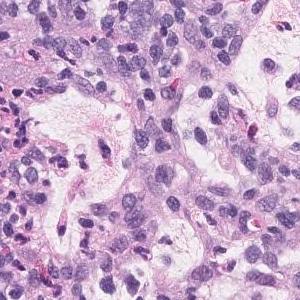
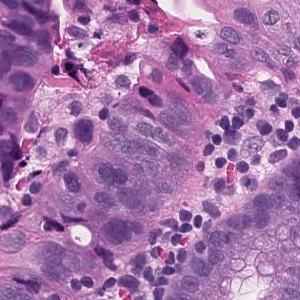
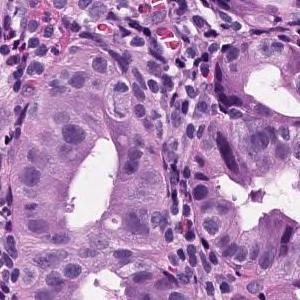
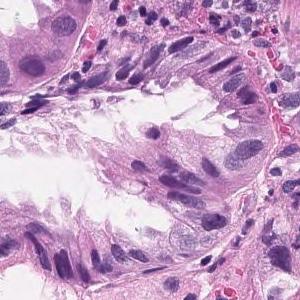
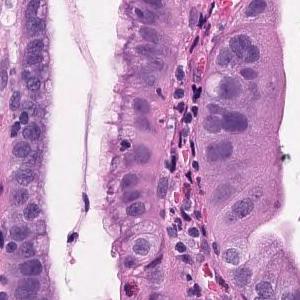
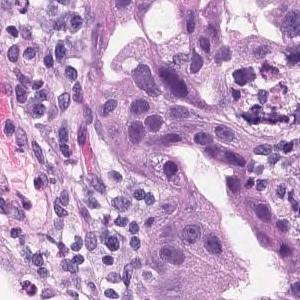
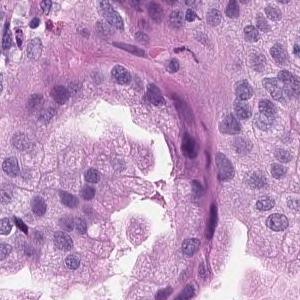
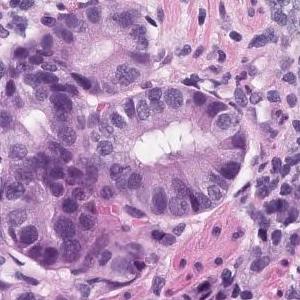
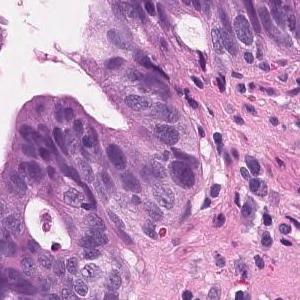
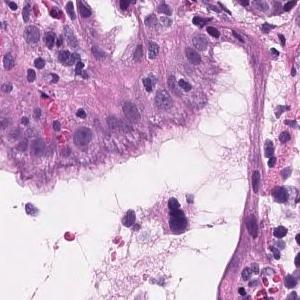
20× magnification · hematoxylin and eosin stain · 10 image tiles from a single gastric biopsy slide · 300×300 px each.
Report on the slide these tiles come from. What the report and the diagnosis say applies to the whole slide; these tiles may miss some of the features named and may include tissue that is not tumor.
Tumor tissue consisting of medium-sized and irregular ducts is observed infiltrating in the superficial epithelium. Tumor cells are highly columnar, with nuclei aligned basolaterally and polarized. Well differentiated tubular adenocarcinoma.
